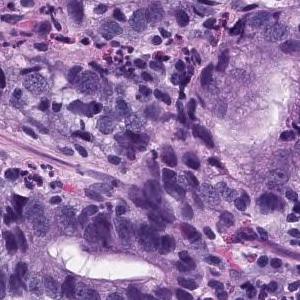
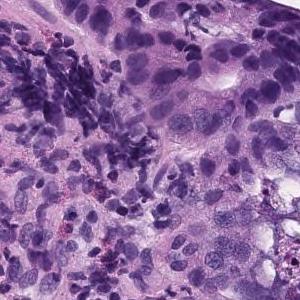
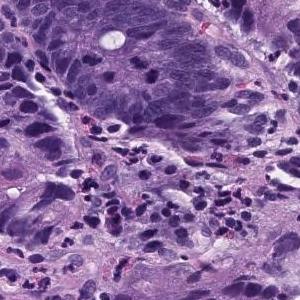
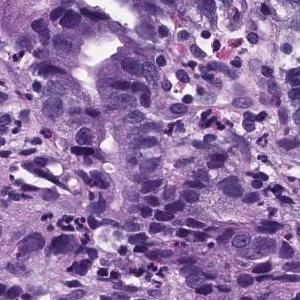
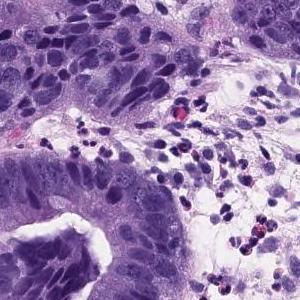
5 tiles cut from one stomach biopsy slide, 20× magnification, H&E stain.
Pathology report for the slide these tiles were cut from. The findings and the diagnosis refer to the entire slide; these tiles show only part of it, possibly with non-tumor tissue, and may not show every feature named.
Tumor tissue consisting of large papillary structures is found in the superficial epithelium. Papillary adenocarcinoma.
